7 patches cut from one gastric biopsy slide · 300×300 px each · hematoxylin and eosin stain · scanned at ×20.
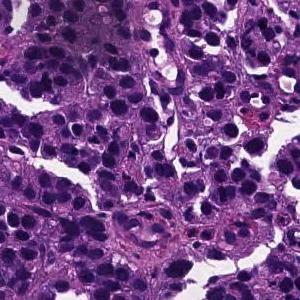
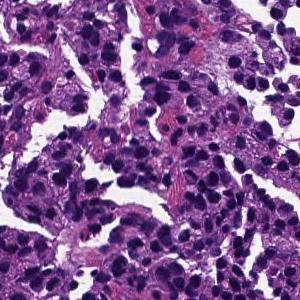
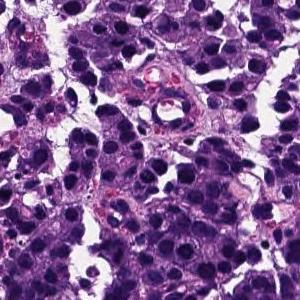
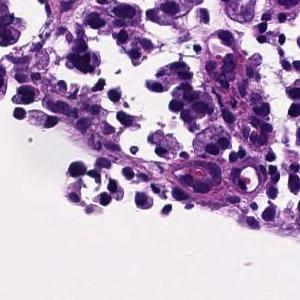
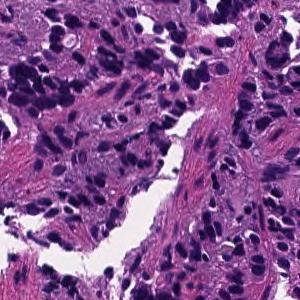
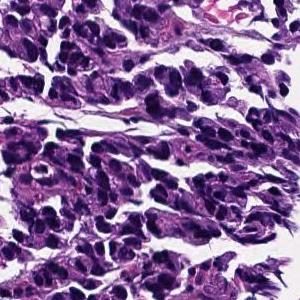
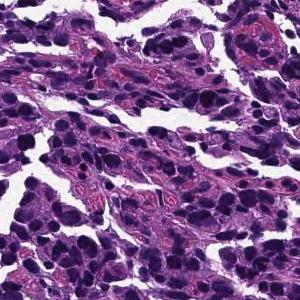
The pathologist's report on the biopsy slide these tiles were taken from. The report and the diagnosis describe the slide as a whole, so these tiles may not show every feature named and may include non-tumor tissue.
The superficial epithelium shows a large alveolar shape and infiltrates tumor tissue. Poorly differentiated adenocarcinoma, solid-type
Classified as poorly differentiated adenocarcinoma, solid type, a category of the Japanese Classification of Gastric Carcinoma; in the WHO 2019 classification it is tubular adenocarcinoma, poorly differentiated.
